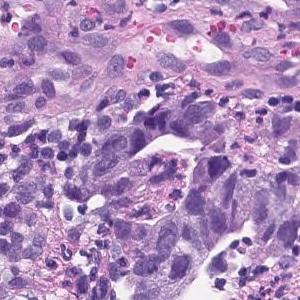
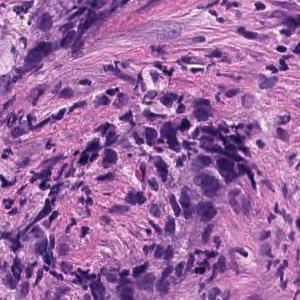
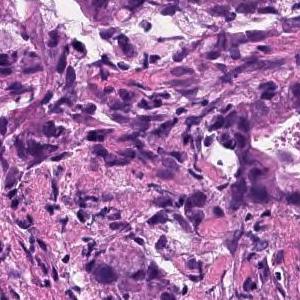
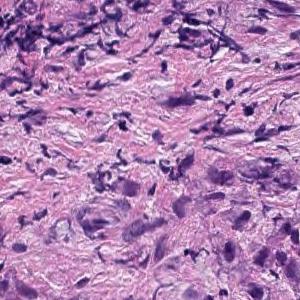
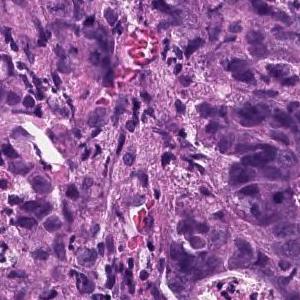
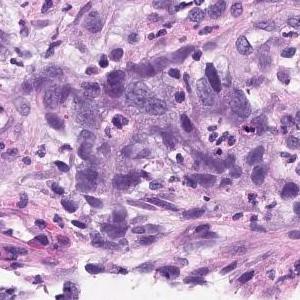
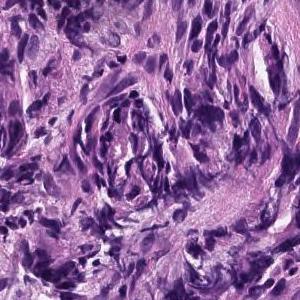
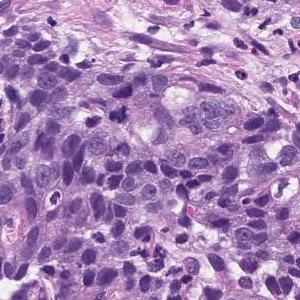
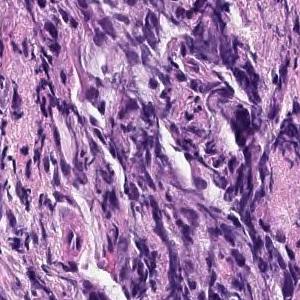
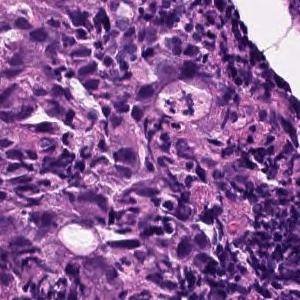
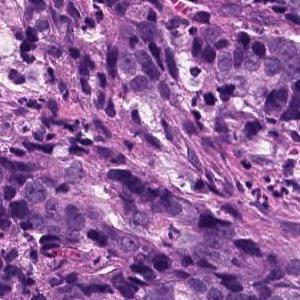
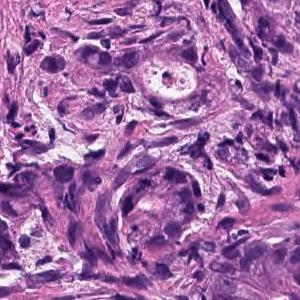
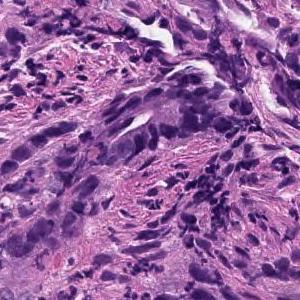
H&E stain · 13 patches cut from one gastric biopsy slide · 300×300 px each.
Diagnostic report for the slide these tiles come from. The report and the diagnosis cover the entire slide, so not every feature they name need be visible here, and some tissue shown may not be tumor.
Medium to small, irregular glandular ducts are formed in the superficial epithelium, and in some cases, the glandular ducts are fused to show solid alveolar lesions and infiltrating tumor tissue is observed. Moderately to poorly differentiated adenocarcinoma.
